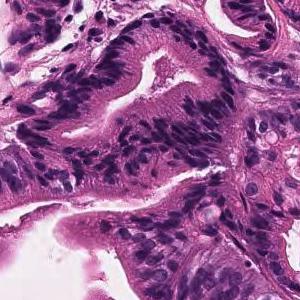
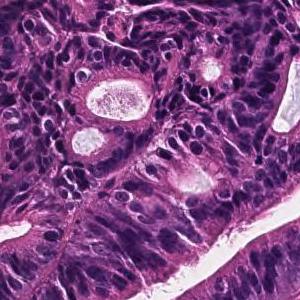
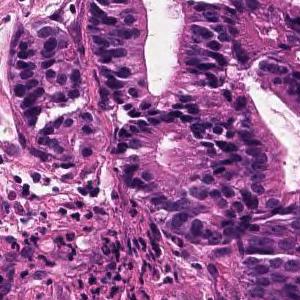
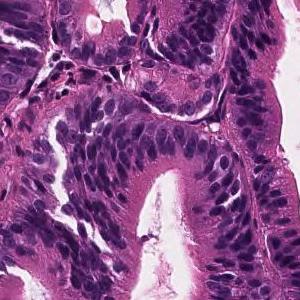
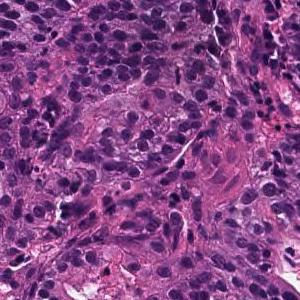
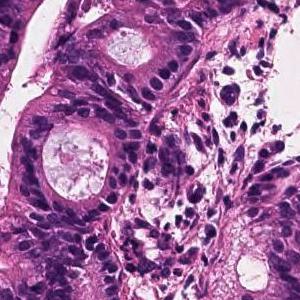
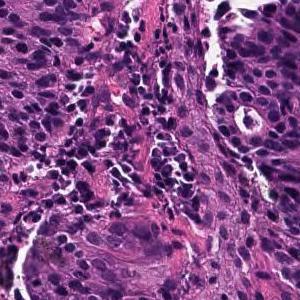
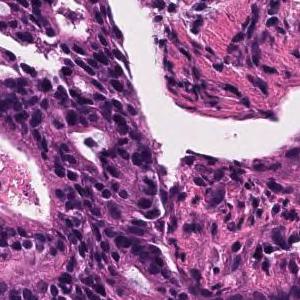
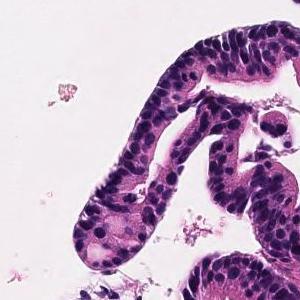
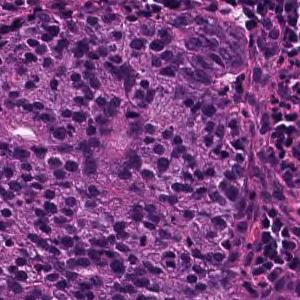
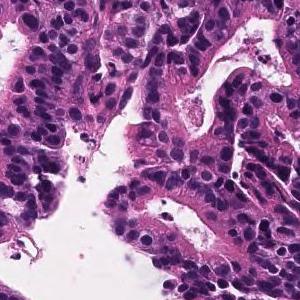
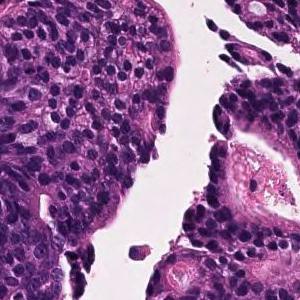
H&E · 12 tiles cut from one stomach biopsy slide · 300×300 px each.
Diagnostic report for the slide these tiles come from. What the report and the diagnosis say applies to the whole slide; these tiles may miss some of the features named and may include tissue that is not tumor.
In the superficial epithelium, tumor tissue that invades by forming medium-sized to small, irregular ducts is observed. Moderately differentiated adenocarcinoma.
Classified as moderately differentiated tubular adenocarcinoma.
